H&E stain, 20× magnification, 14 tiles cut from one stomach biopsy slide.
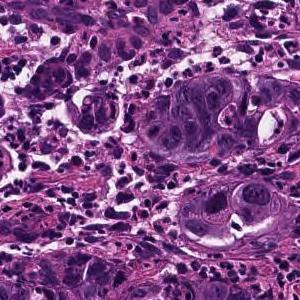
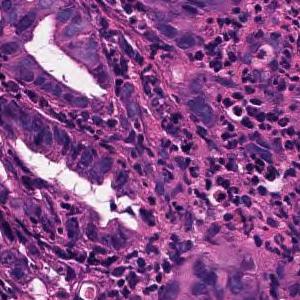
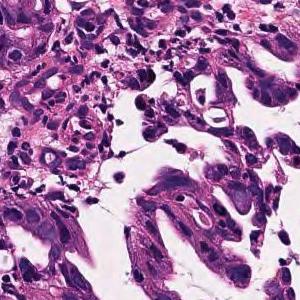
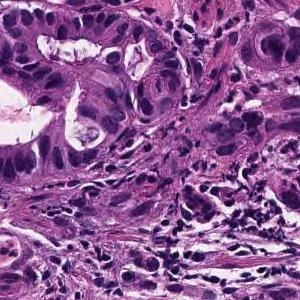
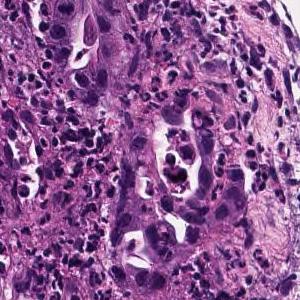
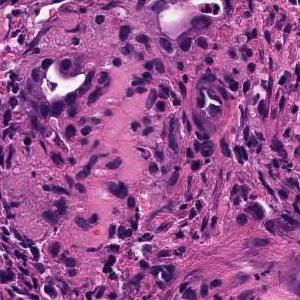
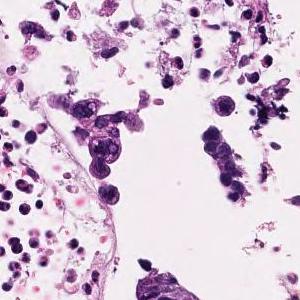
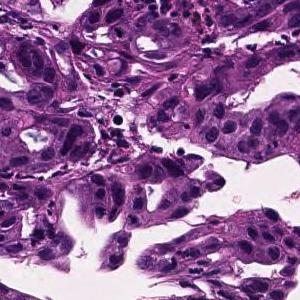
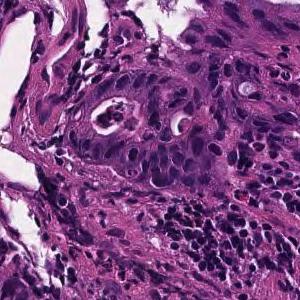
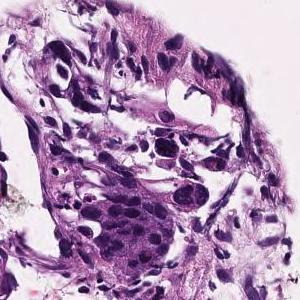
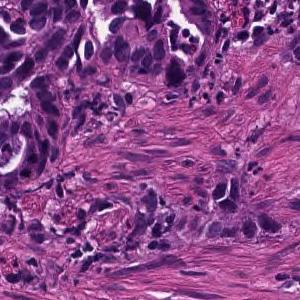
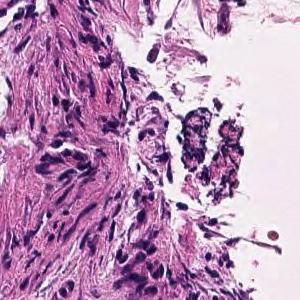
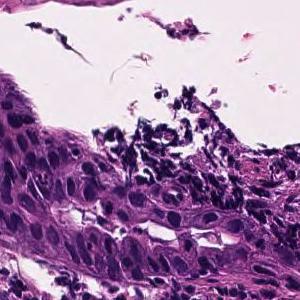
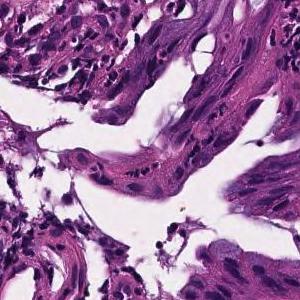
Diagnostic report for the slide these tiles come from. What the report and the diagnosis say applies to the whole slide; these tiles may miss some of the features named and may include tissue that is not tumor.
In the superficial epithelium, medium-sized to small irregular glandular ducts are formed, and in some cases, the glandular ducts are fused or small cord-like infiltrating tumor tissue is observed. moderately differentiated tubular adenocarcinoma
